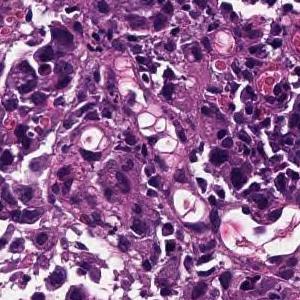
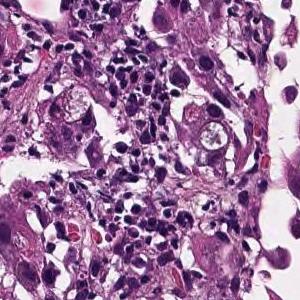
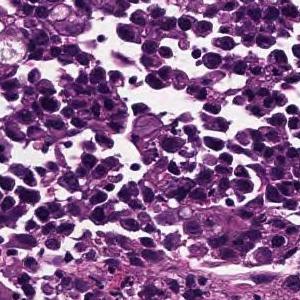
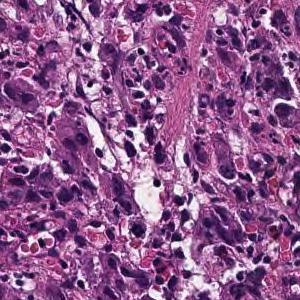
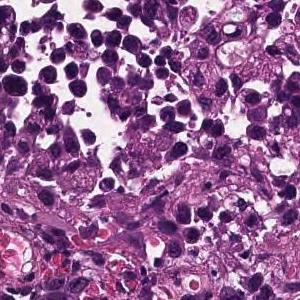
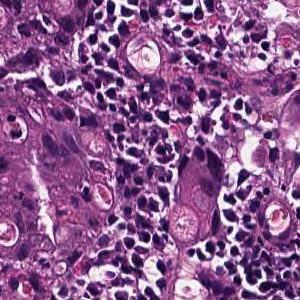
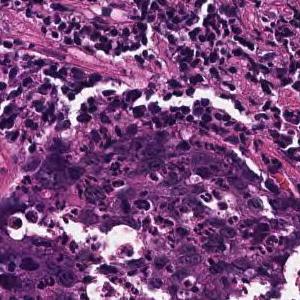
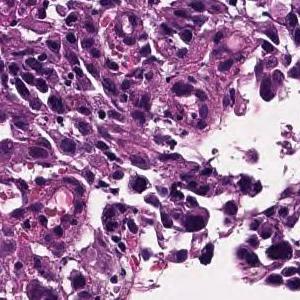
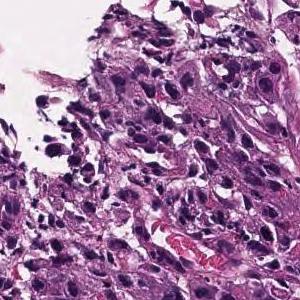
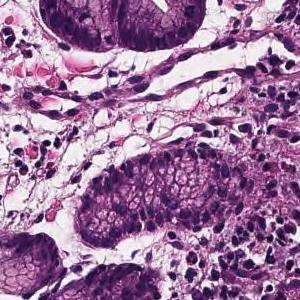
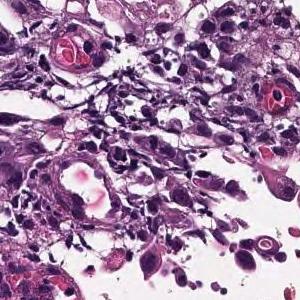
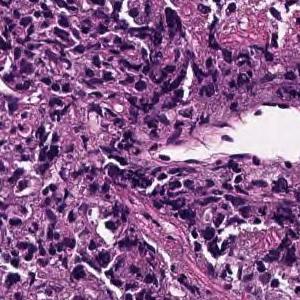
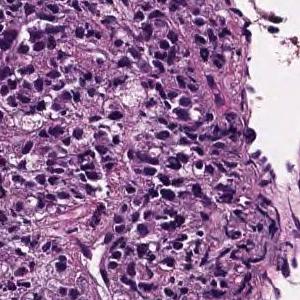
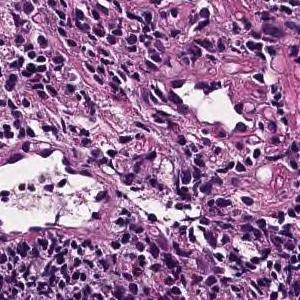
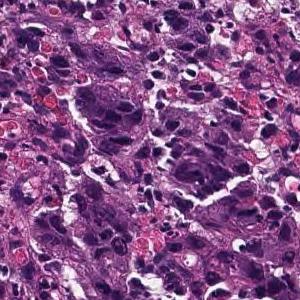
15 tiles cut from one stomach biopsy slide, 300×300 px each, 20× magnification.
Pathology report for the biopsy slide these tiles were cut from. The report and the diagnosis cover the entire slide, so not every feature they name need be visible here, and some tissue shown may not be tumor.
The superficial epithelium shows a large sheet-like shape, and some tumor tissue infiltrates with small irregular ducts. Poorly differentiated adenocarcinoma, solid-type
Subtype: Poorly differentiated adenocarcinoma, solid type (Japanese Classification of Gastric Carcinoma). The WHO 2019 equivalent is tubular adenocarcinoma, poorly differentiated.
